6 patches cut from one gastric biopsy slide, each 300 × 300 pixels, H&E stain, scanned at ×20.
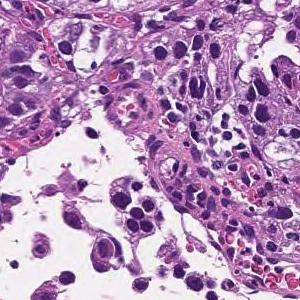
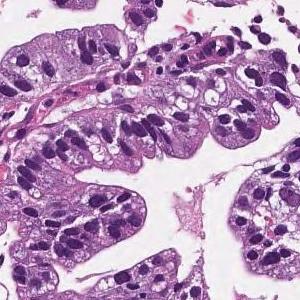
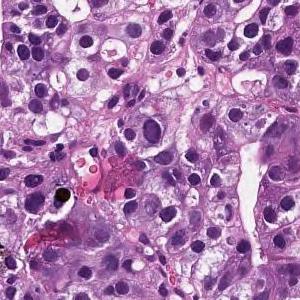
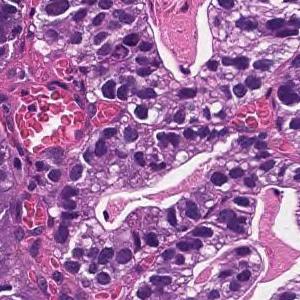
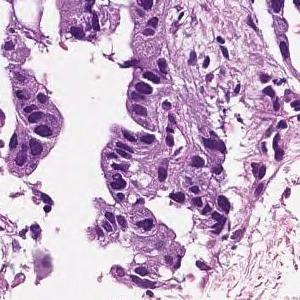
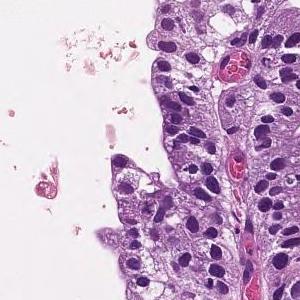
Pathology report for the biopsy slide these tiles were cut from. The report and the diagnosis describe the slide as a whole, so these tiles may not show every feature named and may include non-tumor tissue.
On the superficial epithelium, tumor tissue consisting of large, irregular glandular ducts partially fused and infiltrated is observed. Well to moderately differentiated tubular adenocarcinoma (well differentiated tubular adenocarcinoma, moderately differentiated tubular adenocarcinoma)
Histologic type: Well to moderately differentiated tubular adenocarcinoma.
